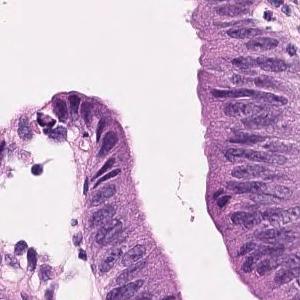
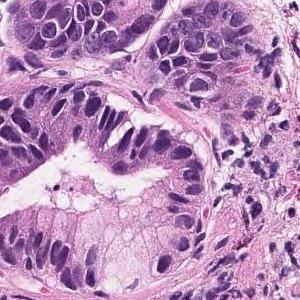
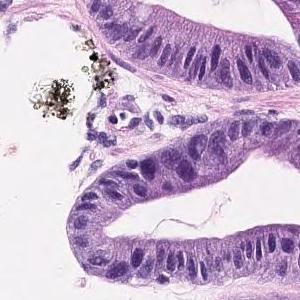
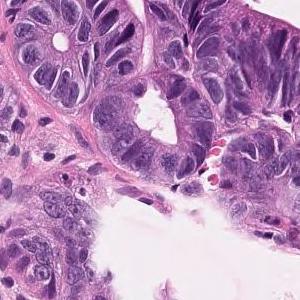
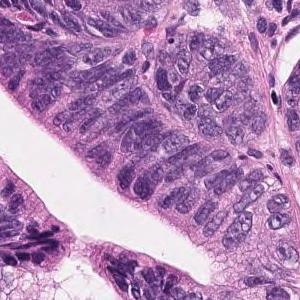
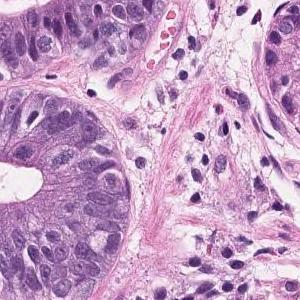
6 patches cut from one gastric biopsy slide; 20× magnification; H&E.
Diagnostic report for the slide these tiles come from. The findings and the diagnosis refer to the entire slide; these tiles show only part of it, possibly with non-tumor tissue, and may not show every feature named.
Atypical ducts that branch intricately are observed. Well differentiated tubular adenocarcinoma
